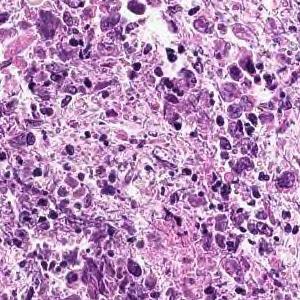
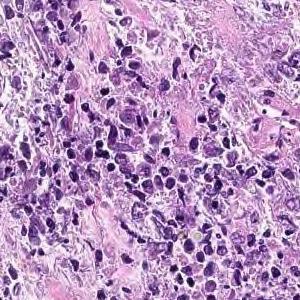
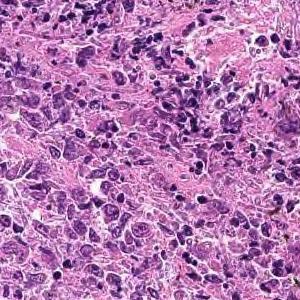
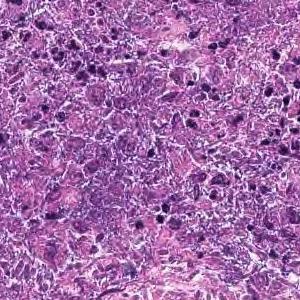
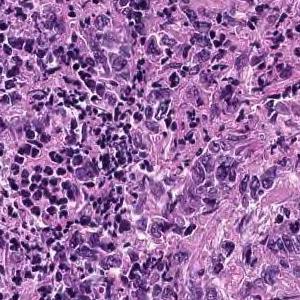
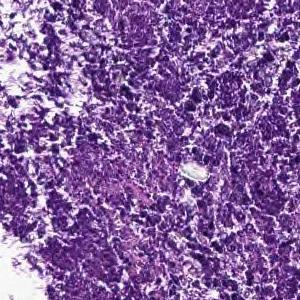
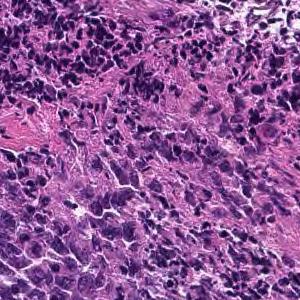
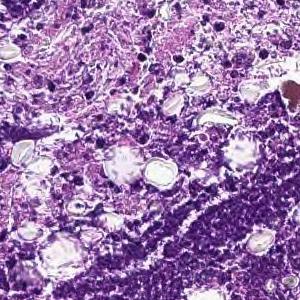
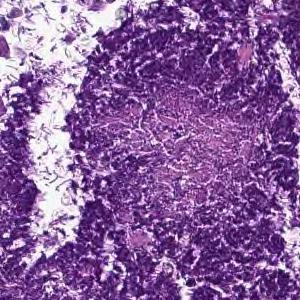
9 image tiles from a single gastric biopsy slide · 300 × 300 pixels each · hematoxylin and eosin stain.
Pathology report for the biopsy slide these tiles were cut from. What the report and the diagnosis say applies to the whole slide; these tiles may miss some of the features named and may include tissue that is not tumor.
Cancers with polygonal nuclei do not show glandular formation and are densely, in part, cord-like and proliferate. Poorly differentiated adenocarcinoma
Histologic type: Poorly differentiated adenocarcinoma, non-solid type.
The term "non-solid type" comes from the Japanese Classification of Gastric Carcinoma.
